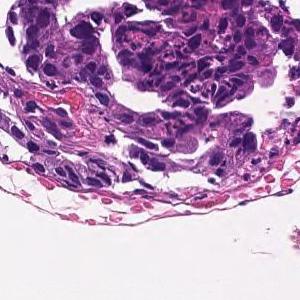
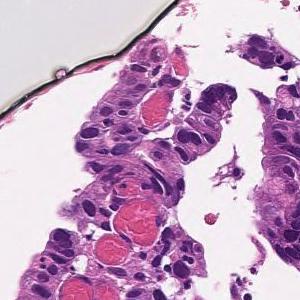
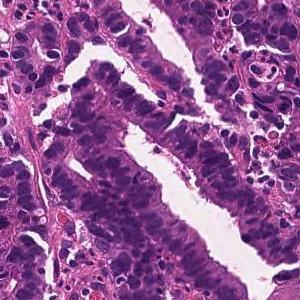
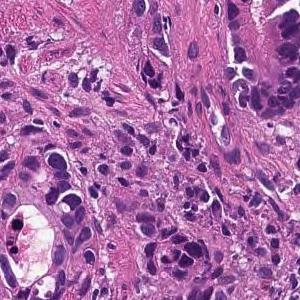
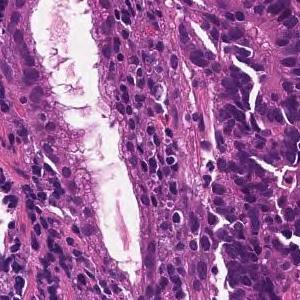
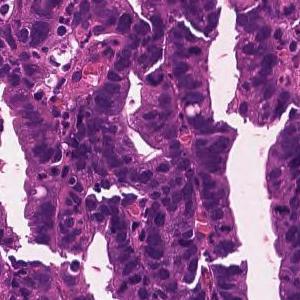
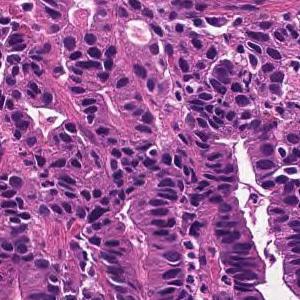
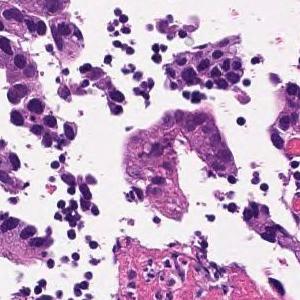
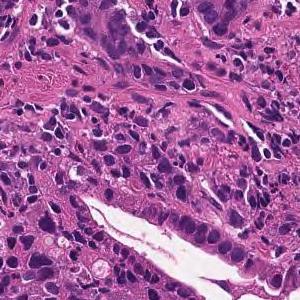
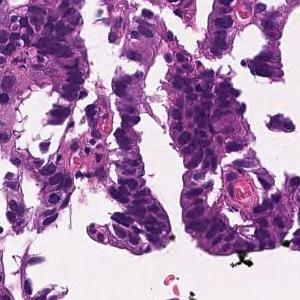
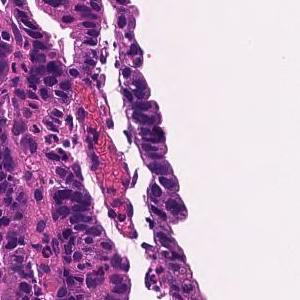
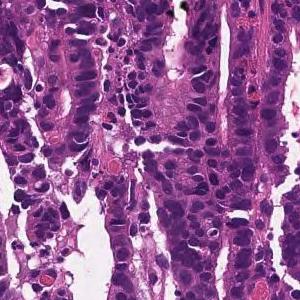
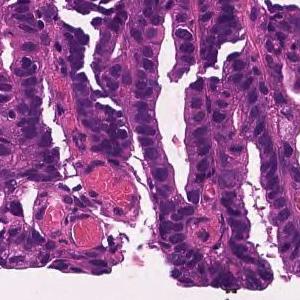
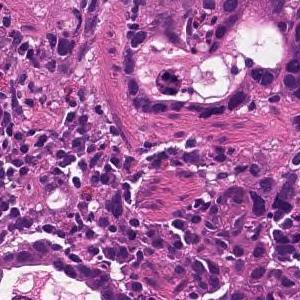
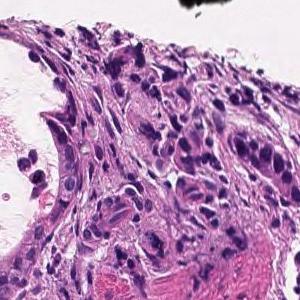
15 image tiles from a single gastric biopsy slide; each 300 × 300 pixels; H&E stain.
Diagnostic report for the slide these tiles come from. The report and the diagnosis cover the entire slide, so not every feature they name need be visible here, and some tissue shown may not be tumor.
In the superficial epithelium, tumor tissue that invades by forming medium-sized to small, irregular ducts is observed. moderately differentiated tubular adenocarcinoma.
